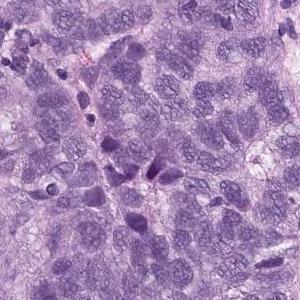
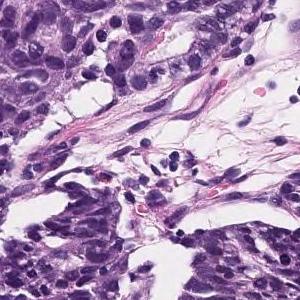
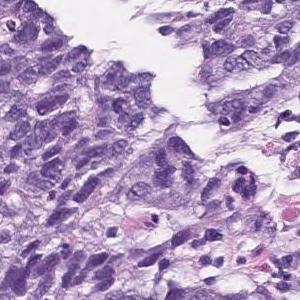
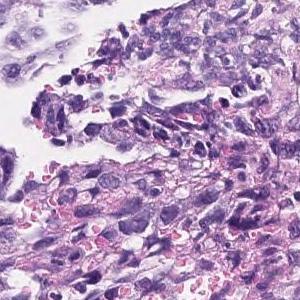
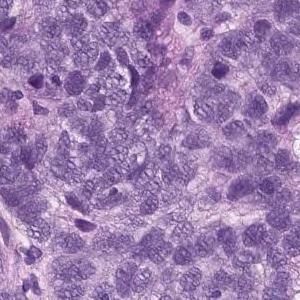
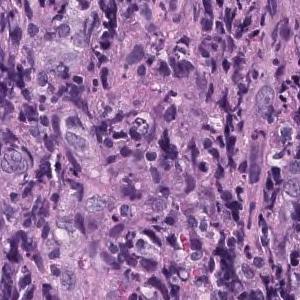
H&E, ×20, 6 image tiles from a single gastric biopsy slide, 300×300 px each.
Diagnostic report for the slide these tiles come from. The findings and the diagnosis refer to the entire slide; these tiles show only part of it, possibly with non-tumor tissue, and may not show every feature named.
Epithelial cells with swollen nuclei with atypia invasively proliferating while forming vesicles is observed. Poorly differentiated adenocarcinoma
Tumor subtype: poorly differentiated adenocarcinoma, solid type (Japanese Classification of Gastric Carcinoma). The WHO 2019 equivalent is tubular adenocarcinoma, poorly differentiated.
